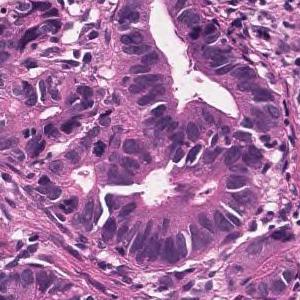
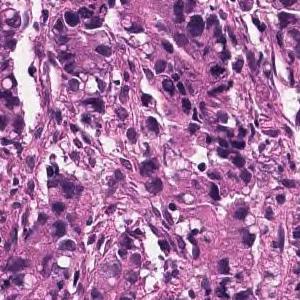
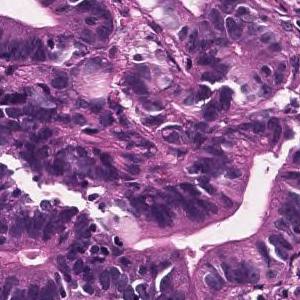
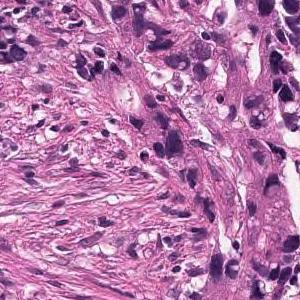
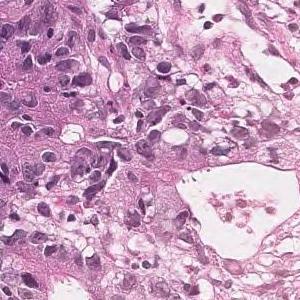
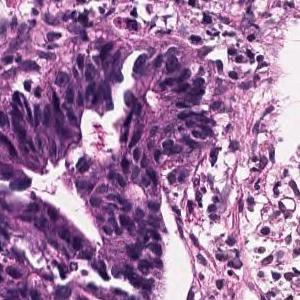
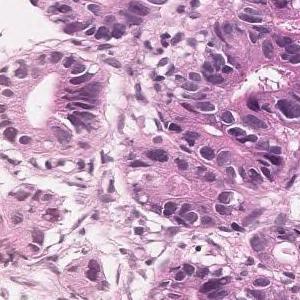
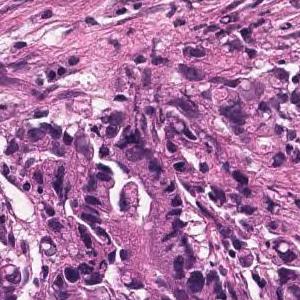
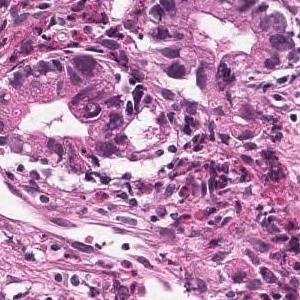
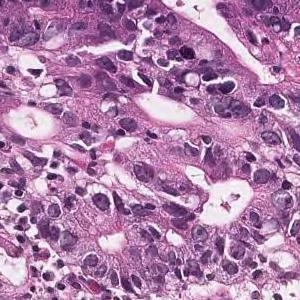
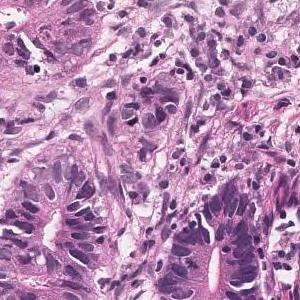
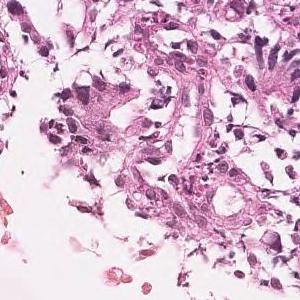
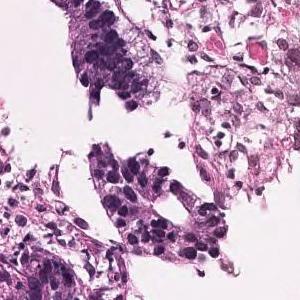
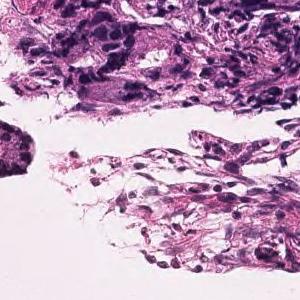
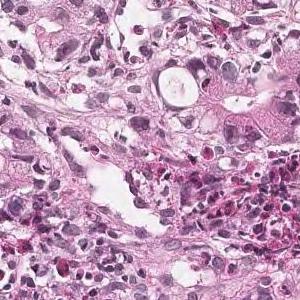
15 tiles from the same stomach biopsy slide, each 300 × 300 pixels, 20× magnification, H&E.
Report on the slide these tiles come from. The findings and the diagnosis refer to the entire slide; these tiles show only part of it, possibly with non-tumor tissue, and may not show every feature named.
In the superficial epithelium, tumor tissue is found in which medium-sized irregular gland ducts fuse with each other and infiltrate. moderately differentiated tubular adenocarcinoma
